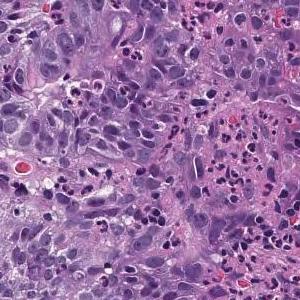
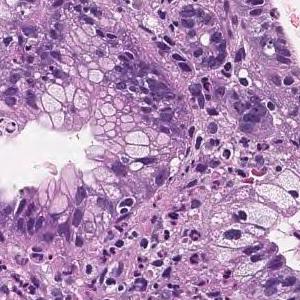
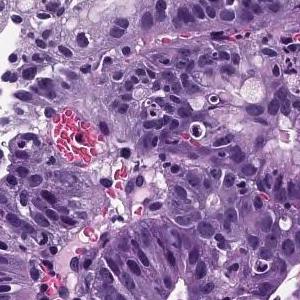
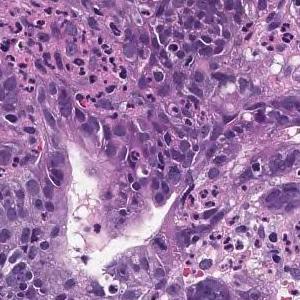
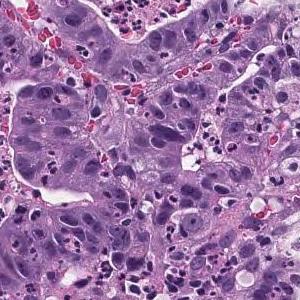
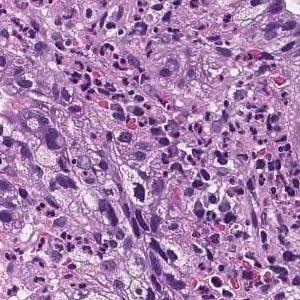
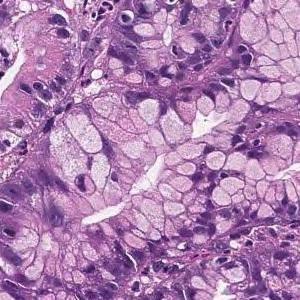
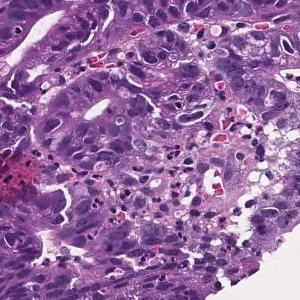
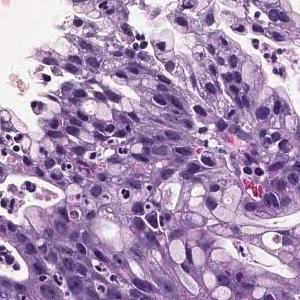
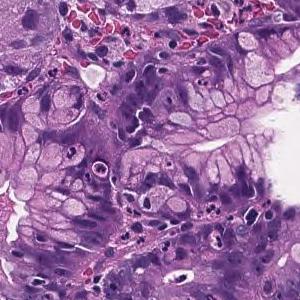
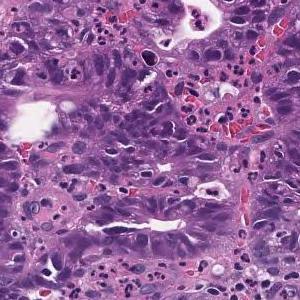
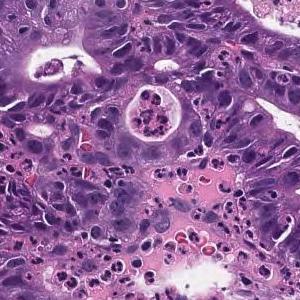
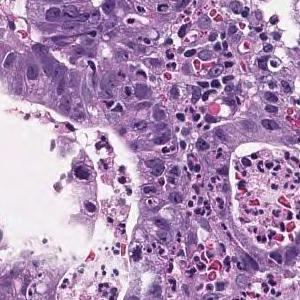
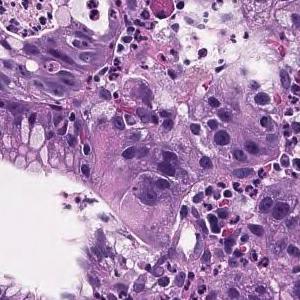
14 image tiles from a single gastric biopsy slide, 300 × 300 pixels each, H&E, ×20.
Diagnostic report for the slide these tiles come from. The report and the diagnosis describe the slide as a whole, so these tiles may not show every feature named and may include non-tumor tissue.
In the superficial epithelium, tumor tissue that invades by forming medium-sized to small, irregular ducts is observed. Well differentiated tubular adenocarcinoma.
